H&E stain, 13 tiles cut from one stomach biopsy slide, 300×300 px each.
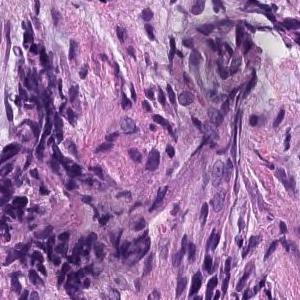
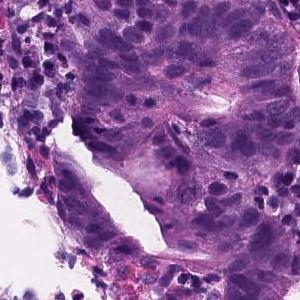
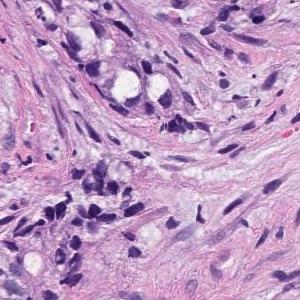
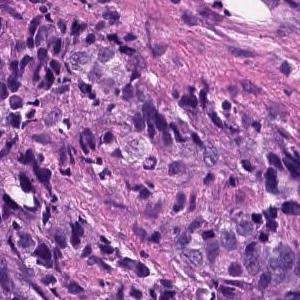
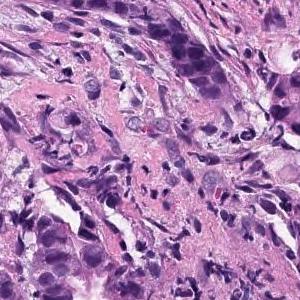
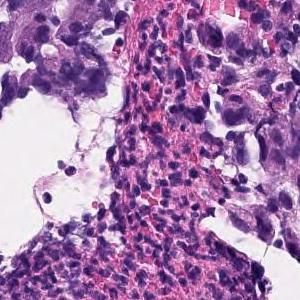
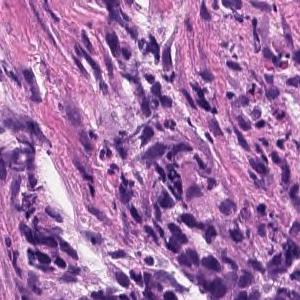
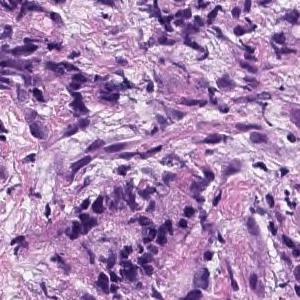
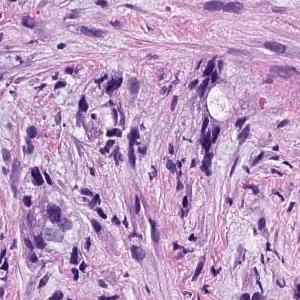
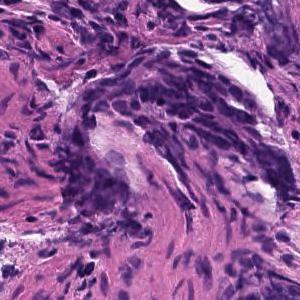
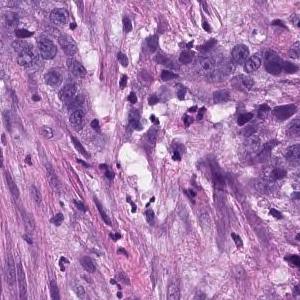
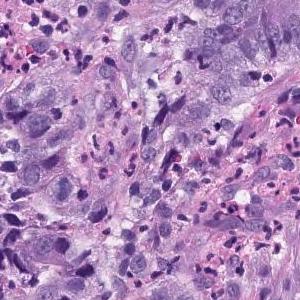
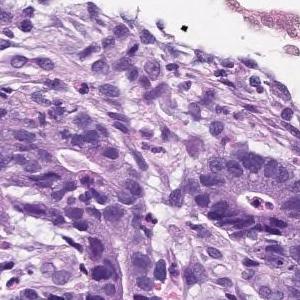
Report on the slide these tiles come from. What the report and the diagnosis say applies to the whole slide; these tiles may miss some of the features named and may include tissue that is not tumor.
Medium to small, irregular glandular ducts are formed in the superficial epithelium, and in some cases, the glandular ducts are fused to show solid alveolar lesions and infiltrating tumor tissue is observed. Moderately to poorly differentiated adenocarcinoma.
